×20, H&E, 13 patches cut from one gastric biopsy slide, 300 × 300 pixels each.
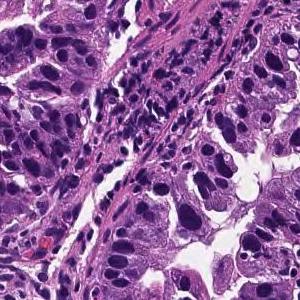
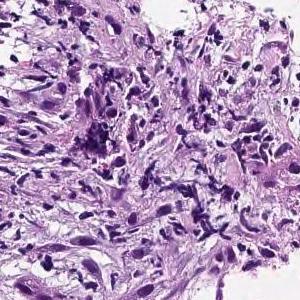
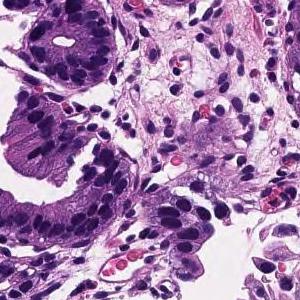
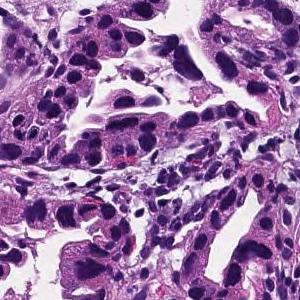
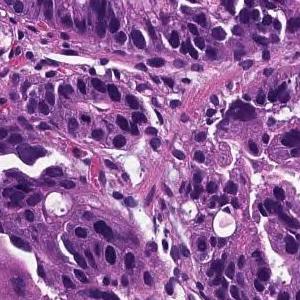
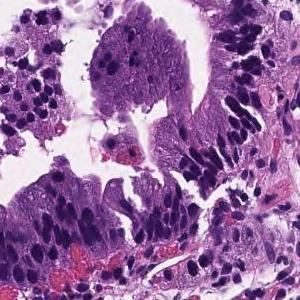
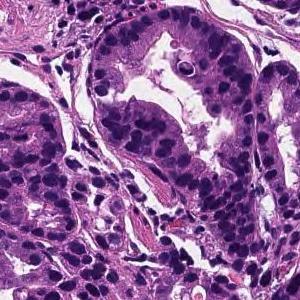
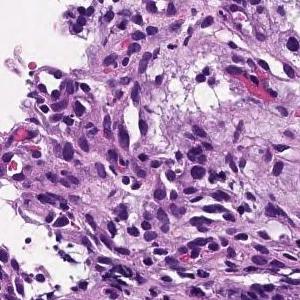
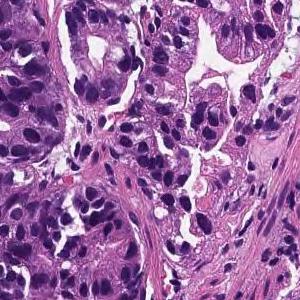
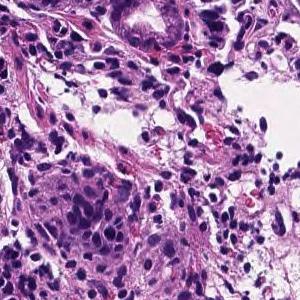
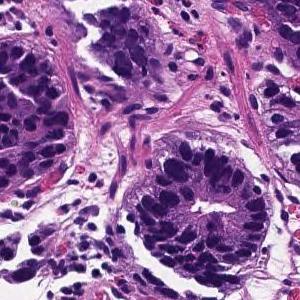
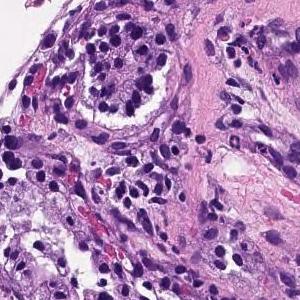
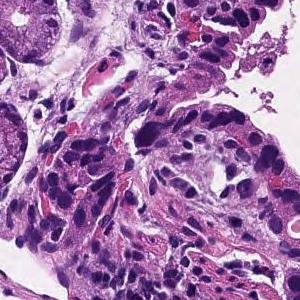
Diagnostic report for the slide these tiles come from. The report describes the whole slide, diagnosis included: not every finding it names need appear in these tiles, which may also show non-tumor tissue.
From the superficial epithelium to the muscularis mucosae, tumor tissue consisting of medium-sized and irregular glandular ducts infiltrating is observed. Well differentiated tubular adenocarcinoma
